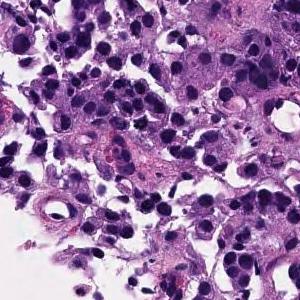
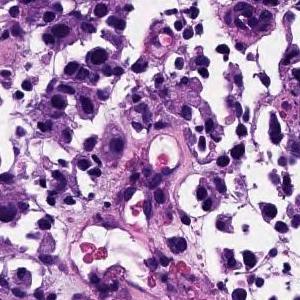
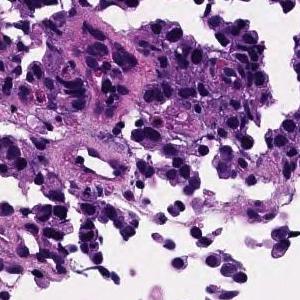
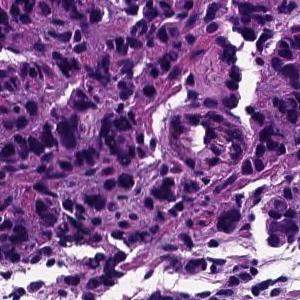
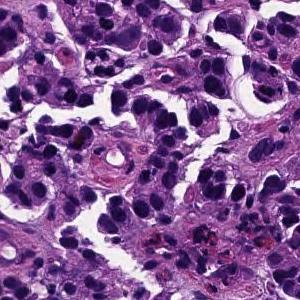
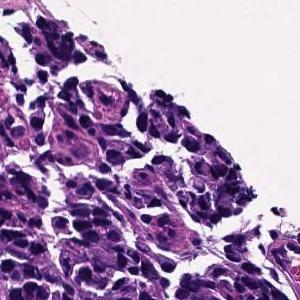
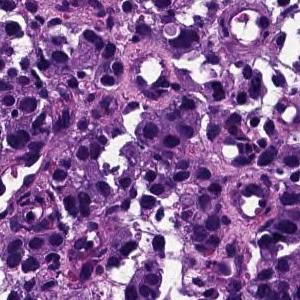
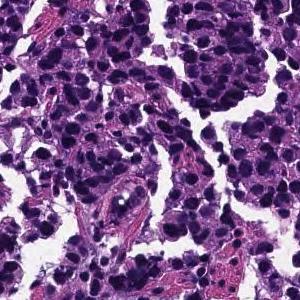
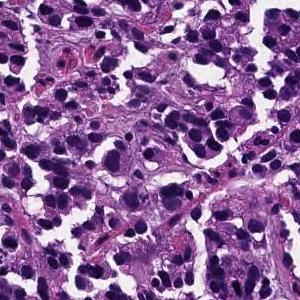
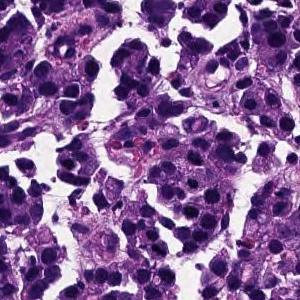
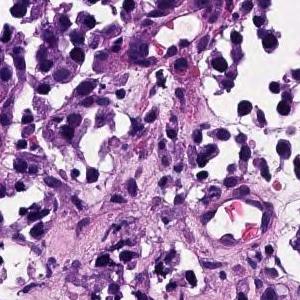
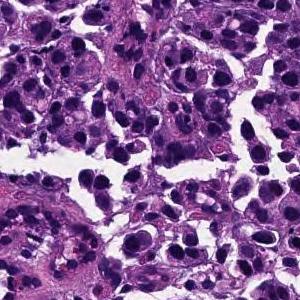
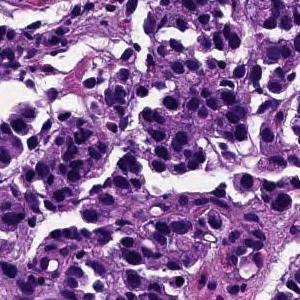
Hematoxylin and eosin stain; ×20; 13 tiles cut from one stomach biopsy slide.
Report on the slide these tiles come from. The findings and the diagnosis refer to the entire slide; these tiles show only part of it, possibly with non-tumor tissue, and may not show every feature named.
The superficial epithelium shows a large alveolar shape and infiltrates tumor tissue. Poorly differentiated adenocarcinoma, solid-type
Subtype: Poorly differentiated adenocarcinoma, solid type (Japanese Classification of Gastric Carcinoma). The WHO 2019 equivalent is tubular adenocarcinoma, poorly differentiated.
